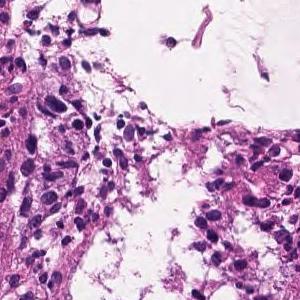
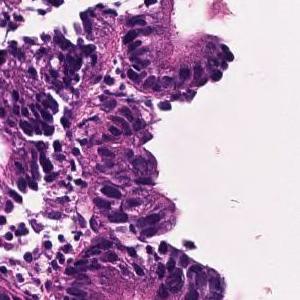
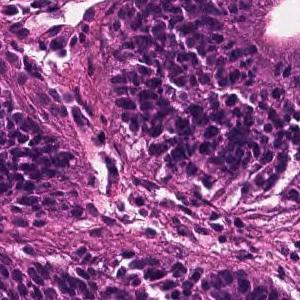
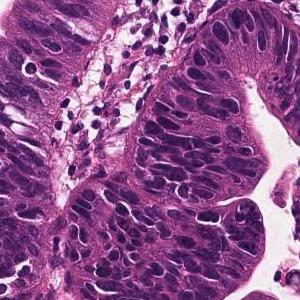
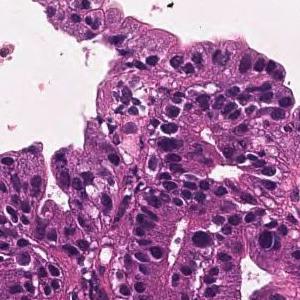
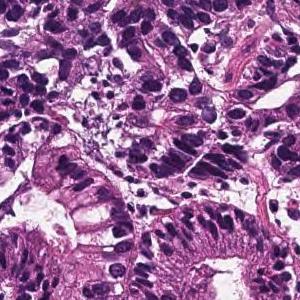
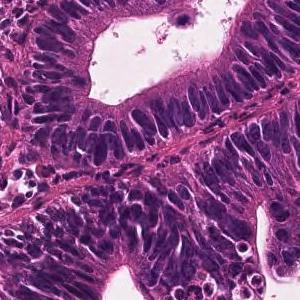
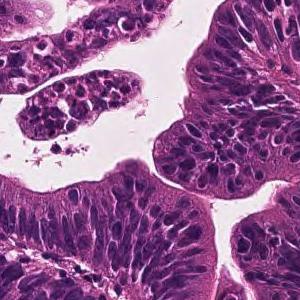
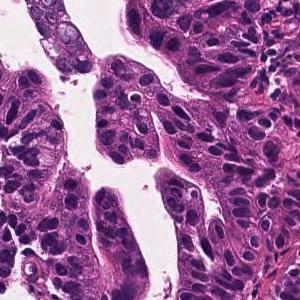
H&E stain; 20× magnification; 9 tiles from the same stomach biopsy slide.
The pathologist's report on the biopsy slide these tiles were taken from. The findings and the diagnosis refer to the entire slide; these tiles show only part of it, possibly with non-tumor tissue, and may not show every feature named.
A large irregular tubular structure is exhibited in the epithelium, and tumor tissue that partially fuses and infiltrates and proliferates is observed. Large columnar tumor cells exhibit enlarged nucleus, hyperchromatism, and mitotic figures. Well differentiated tubular adenocarcinoma
